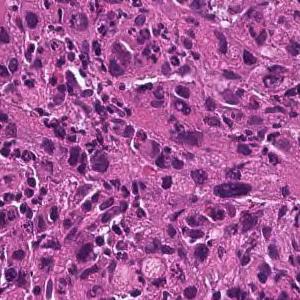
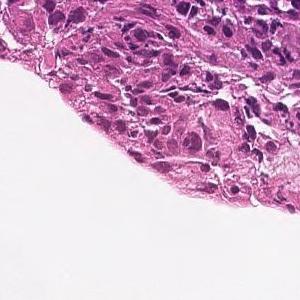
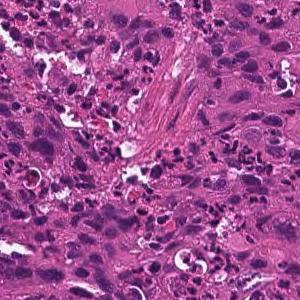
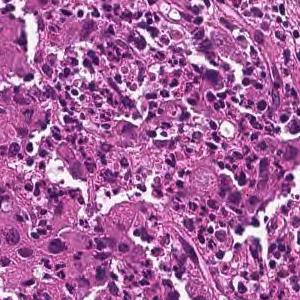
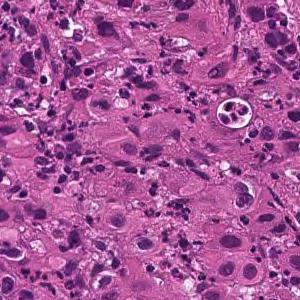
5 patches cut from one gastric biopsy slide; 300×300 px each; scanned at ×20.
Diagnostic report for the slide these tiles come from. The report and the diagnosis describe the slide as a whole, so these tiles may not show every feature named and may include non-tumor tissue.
The superficial epithelium shows a large sheet-like shape, and some tumor tissue infiltrates with small irregular ducts. Poorly differentiated adenocarcinoma, solid-type
Histologic type: Poorly differentiated adenocarcinoma, solid type, a category of the Japanese Classification of Gastric Carcinoma; in the WHO 2019 classification it is tubular adenocarcinoma, poorly differentiated.
